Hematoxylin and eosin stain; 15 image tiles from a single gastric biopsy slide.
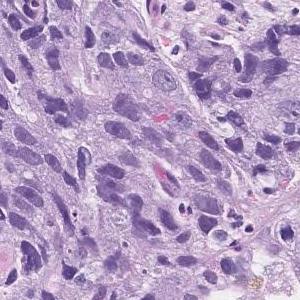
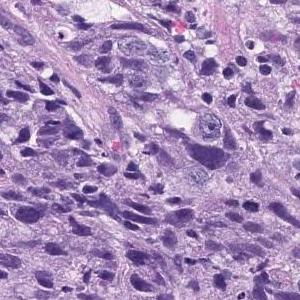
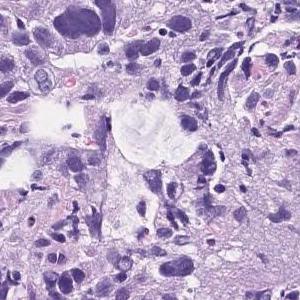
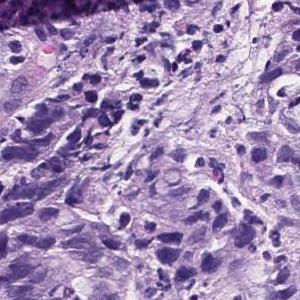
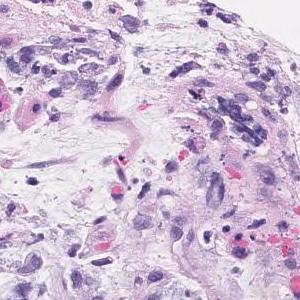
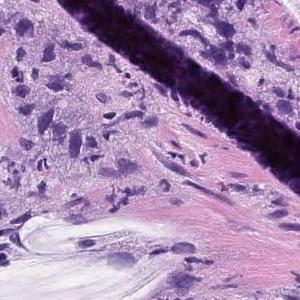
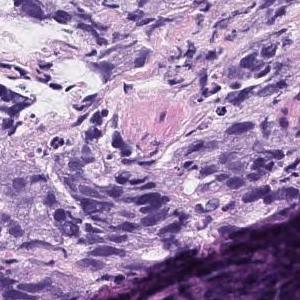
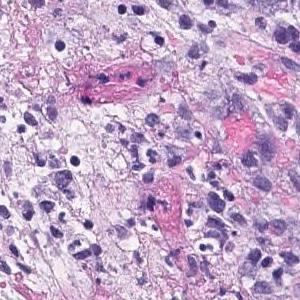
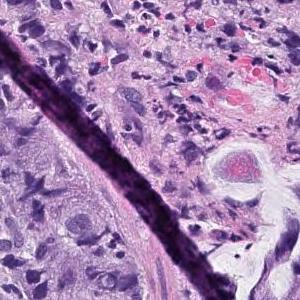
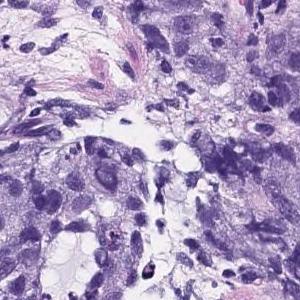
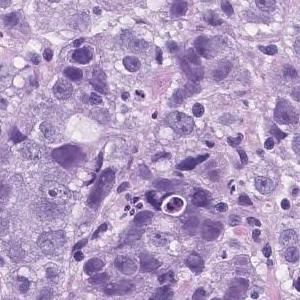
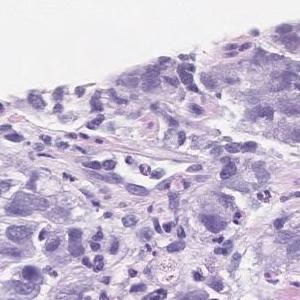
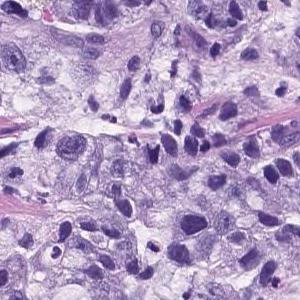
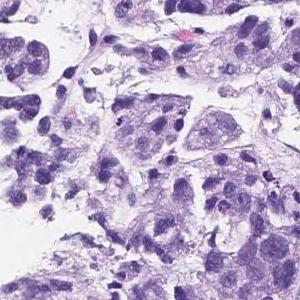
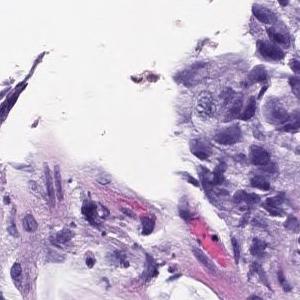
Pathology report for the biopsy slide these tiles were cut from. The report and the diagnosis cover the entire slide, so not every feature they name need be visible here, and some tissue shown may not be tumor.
Atypical l cells with atypical nuclei forming solid vesicles or small irregular atypical ducts that proliferate in a complex manner. poorly differentiated adenocarcinoma, solid type, moderately differentiated tubular adenocarcinoma
The term "solid type" comes from the Japanese Classification of Gastric Carcinoma; the WHO 2019 equivalent is tubular adenocarcinoma, poorly differentiated.
